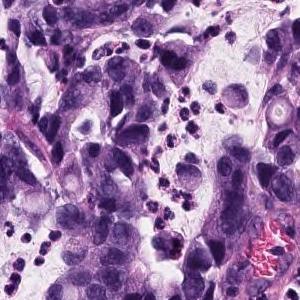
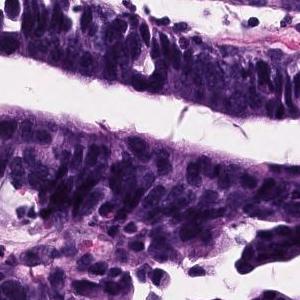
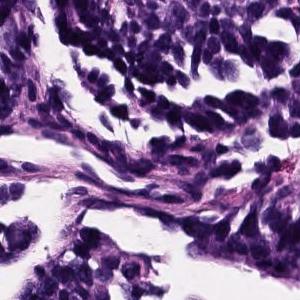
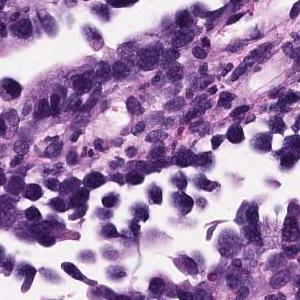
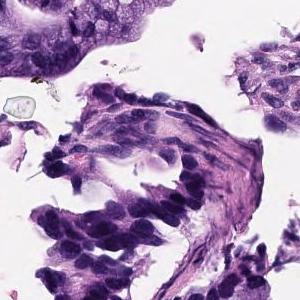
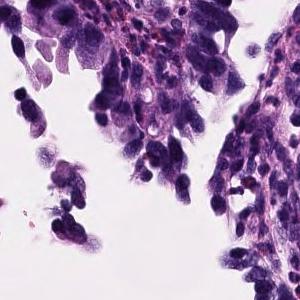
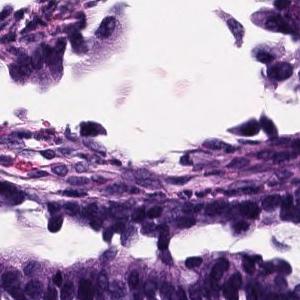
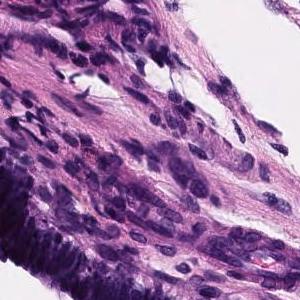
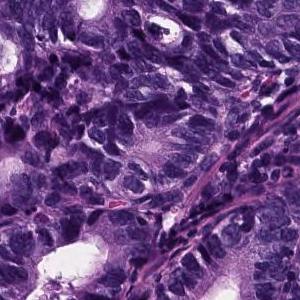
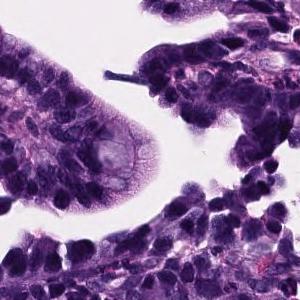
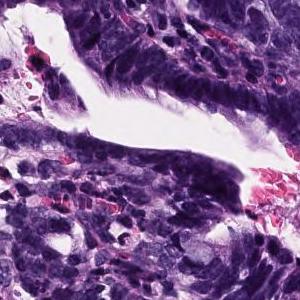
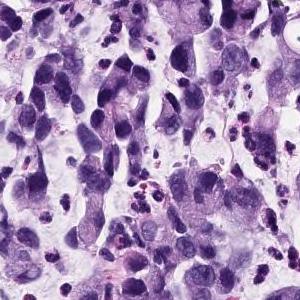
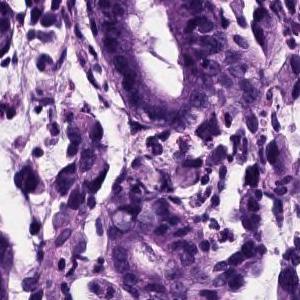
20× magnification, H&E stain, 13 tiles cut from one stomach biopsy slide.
Report on the slide these tiles come from. The report describes the whole slide, diagnosis included: not every finding it names need appear in these tiles, which may also show non-tumor tissue.
Atypical epithelium proliferating showing villus construction and irregular gland duct construction is observed. Moderately differentiated tubular adenocarcinoma.
